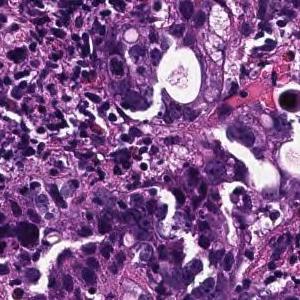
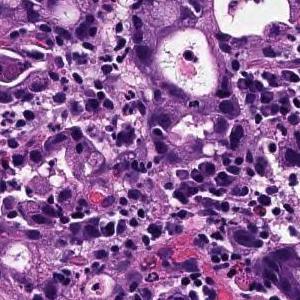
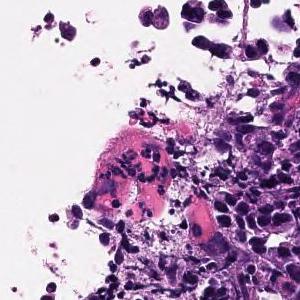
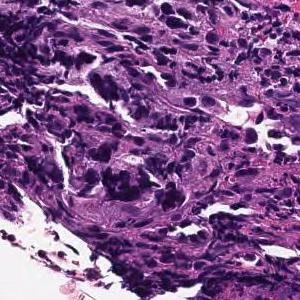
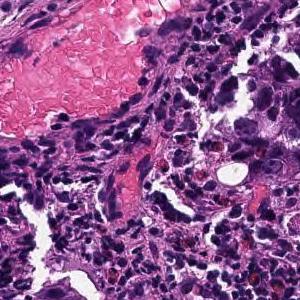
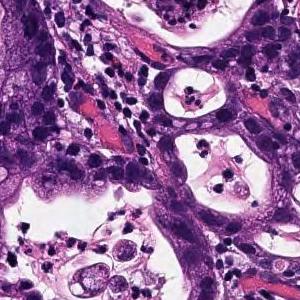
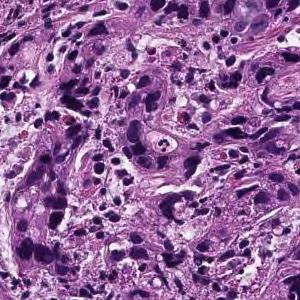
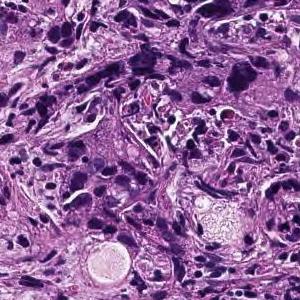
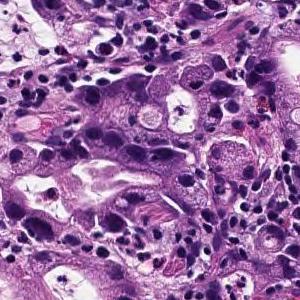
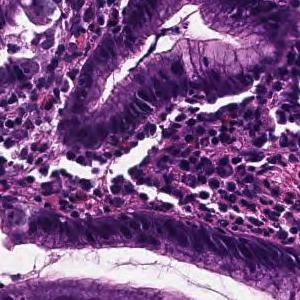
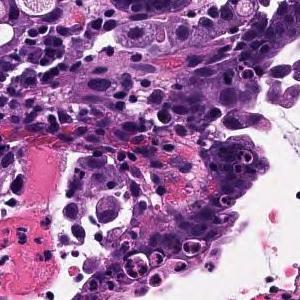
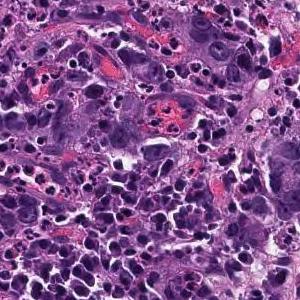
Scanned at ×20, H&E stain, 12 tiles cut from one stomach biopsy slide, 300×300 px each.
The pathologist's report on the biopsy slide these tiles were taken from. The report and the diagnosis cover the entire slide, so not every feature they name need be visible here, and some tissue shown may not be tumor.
Tumor tissue consisting of medium-sized, cord-like or irregular glandular infiltration is observed in the superficial epithelium. Poorly differentiated adenocarcinoma, non-solid type or moderately differentiated tubular adenocarcinoma
Classified as moderately to poorly differentiated adenocarcinoma.
The non-solid type named here is a Japanese Classification of Gastric Carcinoma category.
